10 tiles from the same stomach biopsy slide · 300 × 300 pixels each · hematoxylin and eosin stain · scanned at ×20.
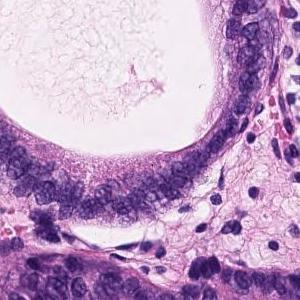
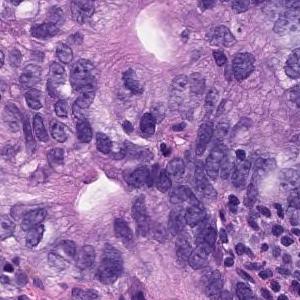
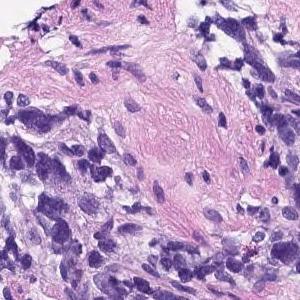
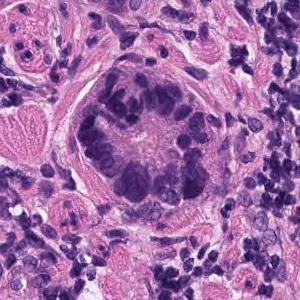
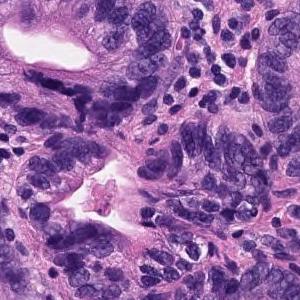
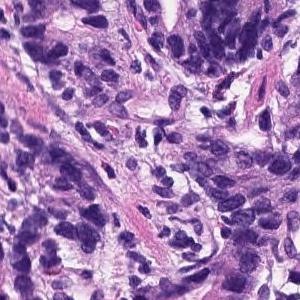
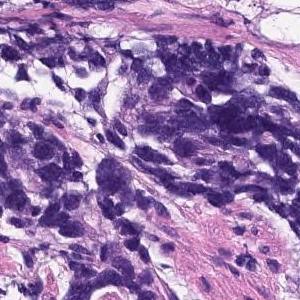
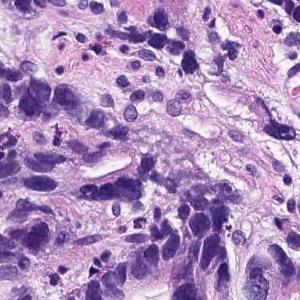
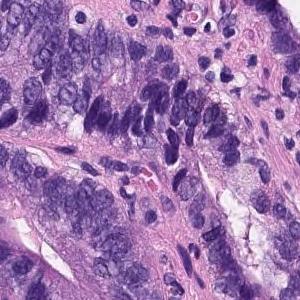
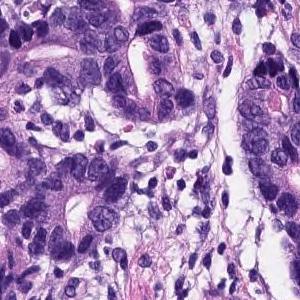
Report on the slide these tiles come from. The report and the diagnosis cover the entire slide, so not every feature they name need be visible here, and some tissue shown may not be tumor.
On the superficial epithelium, tumor tissue consisting of images showing invasive growth with small, irregular tubules partially fused is observed. moderately differentiated tubular adenocarcinoma
